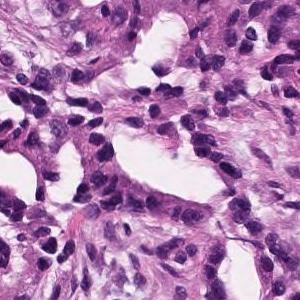
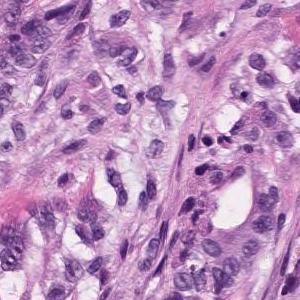
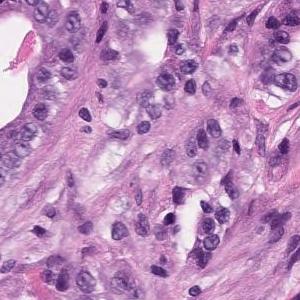
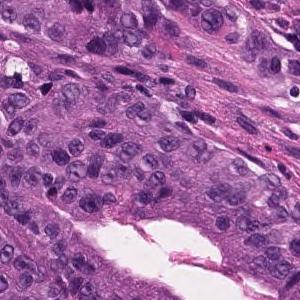
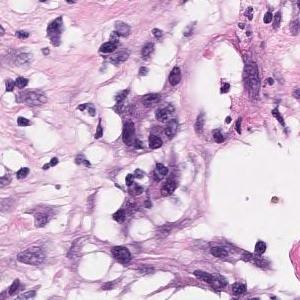
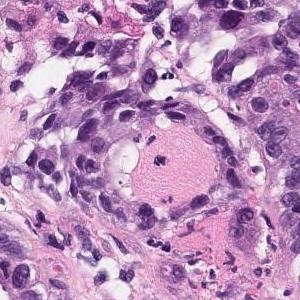
6 tiles from the same stomach biopsy slide, hematoxylin and eosin stain.
Report on the slide these tiles come from. The report describes the whole slide, diagnosis included: not every finding it names need appear in these tiles, which may also show non-tumor tissue.
In the superficial epithelium, tumor tissue that invades by forming medium-sized to small, irregular ducts is observed. Moderately differentiated adenocarcinoma.
Histologic type: Moderately differentiated tubular adenocarcinoma.
